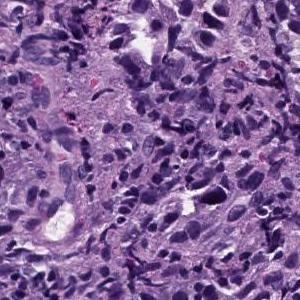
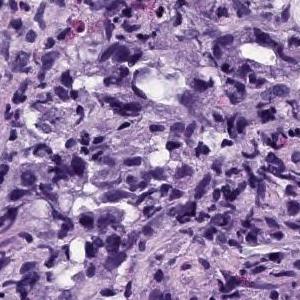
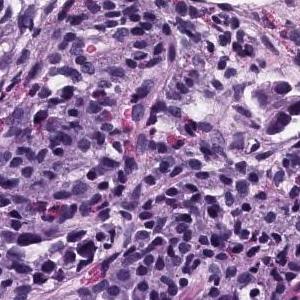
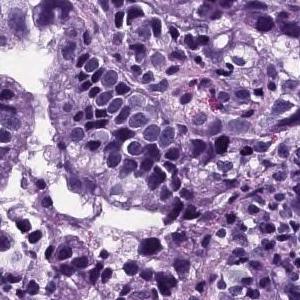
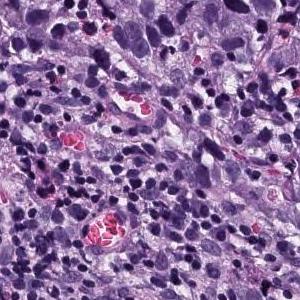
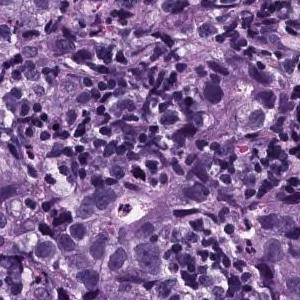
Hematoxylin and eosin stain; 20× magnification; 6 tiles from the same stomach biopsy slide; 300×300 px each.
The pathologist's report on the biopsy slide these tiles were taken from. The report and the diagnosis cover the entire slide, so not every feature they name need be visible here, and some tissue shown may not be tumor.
Atypical epithelial cells infiltrating and proliferating while forming solid or cord-like fused glandular cavities of different sizes is observed. moderately differentiated tubular adenocarcinoma, poorly differentiated adenocarcinoma.
Subtype: Moderately to poorly differentiated adenocarcinoma.
